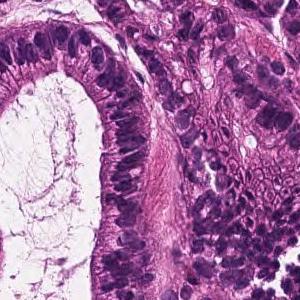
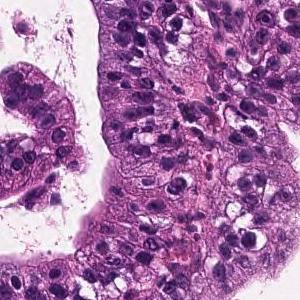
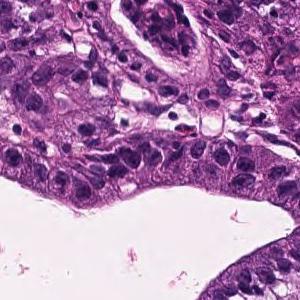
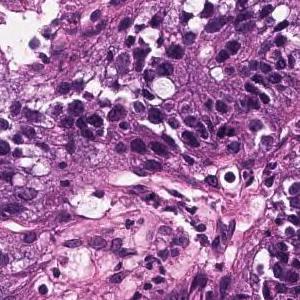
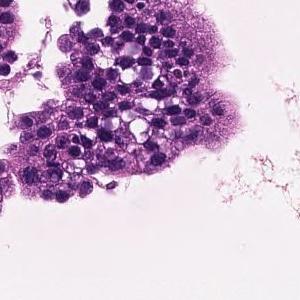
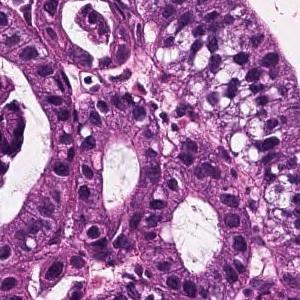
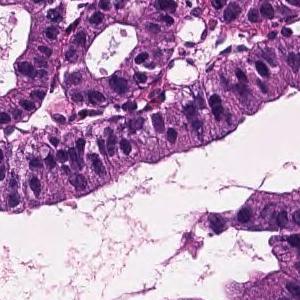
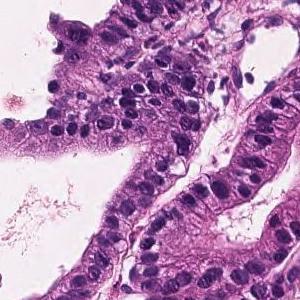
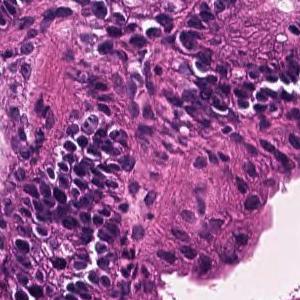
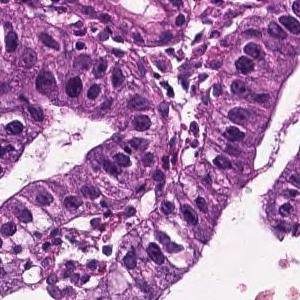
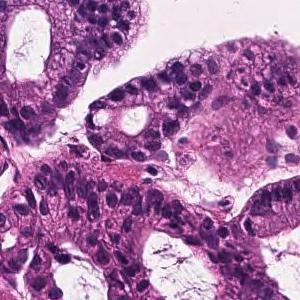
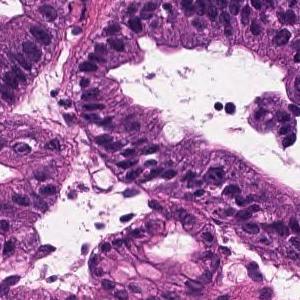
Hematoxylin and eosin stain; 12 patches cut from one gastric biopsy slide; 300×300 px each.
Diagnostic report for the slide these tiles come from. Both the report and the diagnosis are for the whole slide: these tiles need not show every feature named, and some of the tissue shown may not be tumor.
On the superficial epithelium, tumor tissue that infiltrates by forming medium-sized papillary or small irregular ducts is observed. Papillary adenocarcinoma
